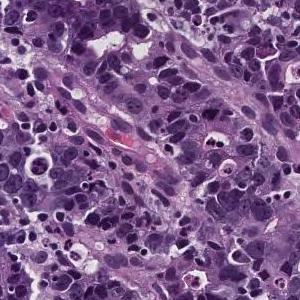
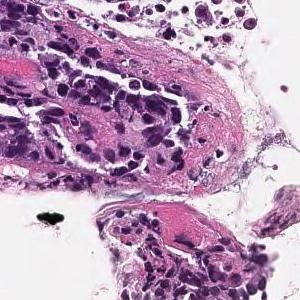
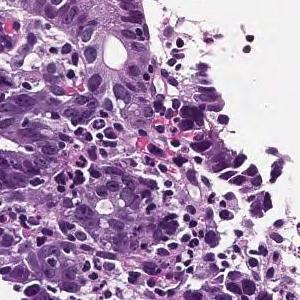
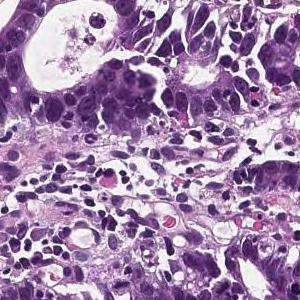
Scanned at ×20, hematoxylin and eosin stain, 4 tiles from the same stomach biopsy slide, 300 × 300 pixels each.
Diagnostic report for the slide these tiles come from. The findings and the diagnosis refer to the entire slide; these tiles show only part of it, possibly with non-tumor tissue, and may not show every feature named.
On the superficial epithelium, tumor tissue is found in which medium-sized irregular gland ducts fuse with each other and infiltrate. moderately differentiated tubular adenocarcinoma
